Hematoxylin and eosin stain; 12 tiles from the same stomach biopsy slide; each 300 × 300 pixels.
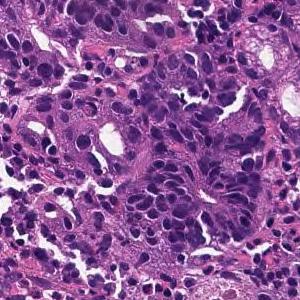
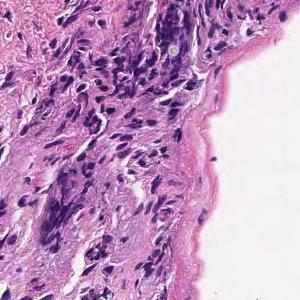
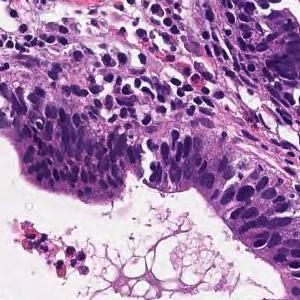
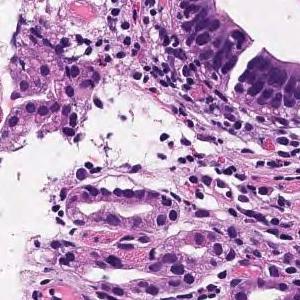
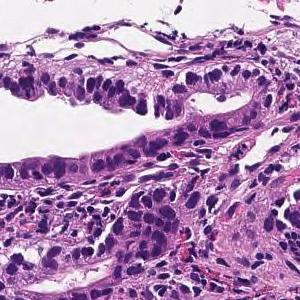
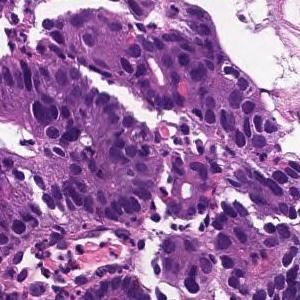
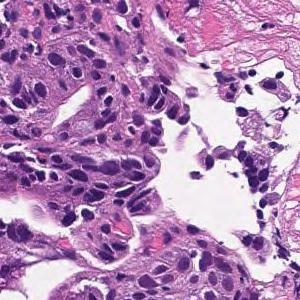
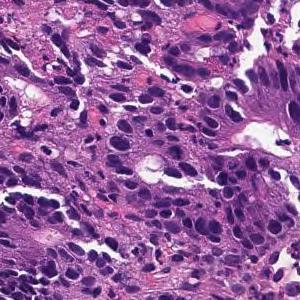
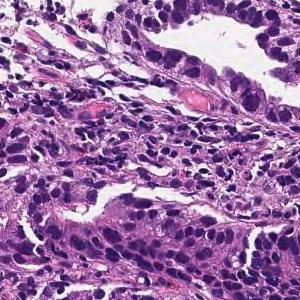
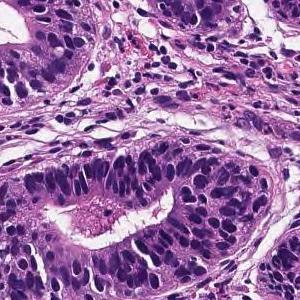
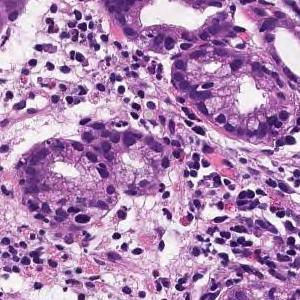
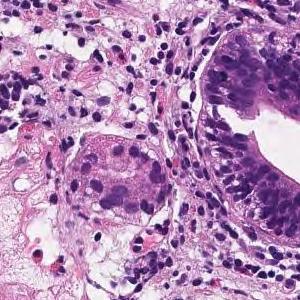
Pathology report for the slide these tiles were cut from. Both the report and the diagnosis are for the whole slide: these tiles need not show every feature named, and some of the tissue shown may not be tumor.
In the superficial epithelium, tumor tissue that invades by forming medium-sized to small, irregular ducts is observed. moderately differentiated tubular adenocarcinoma.
